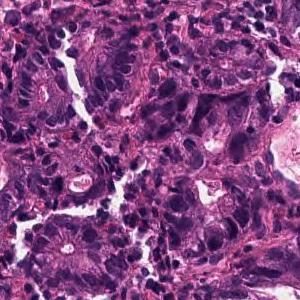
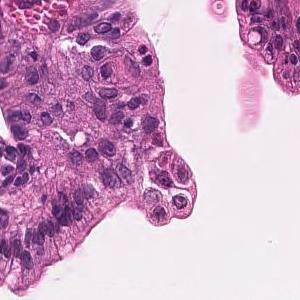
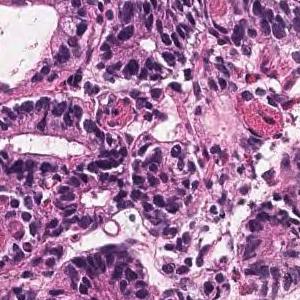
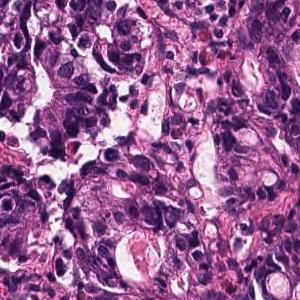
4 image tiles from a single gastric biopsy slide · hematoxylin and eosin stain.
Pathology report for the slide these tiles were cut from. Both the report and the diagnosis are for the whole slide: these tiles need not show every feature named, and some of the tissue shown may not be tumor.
On the superficial epithelium, tumor tissue consisting of large, irregular glandular ducts partially fused and infiltrated is observed. Well to moderately differentiated tubular adenocarcinoma (well differentiated tubular adenocarcinoma, moderately differentiated tubular adenocarcinoma)
Classified as well to moderately differentiated tubular adenocarcinoma.
